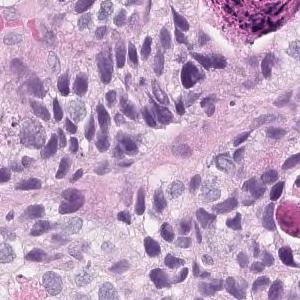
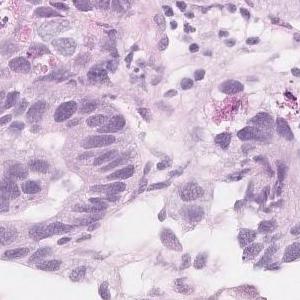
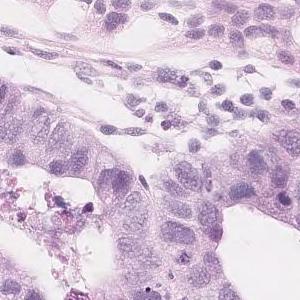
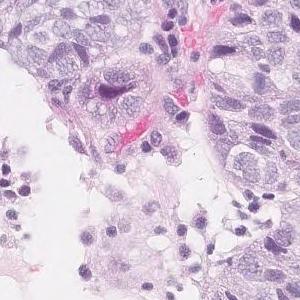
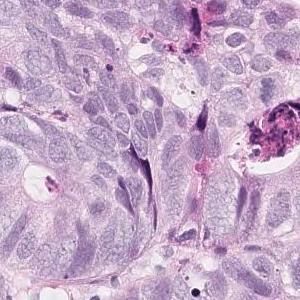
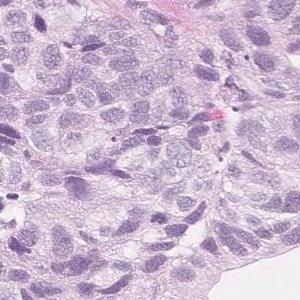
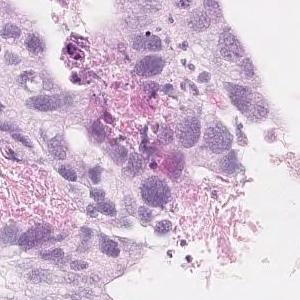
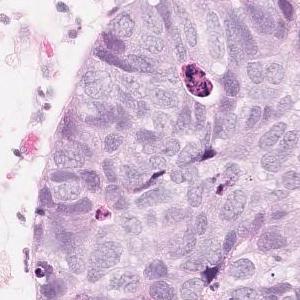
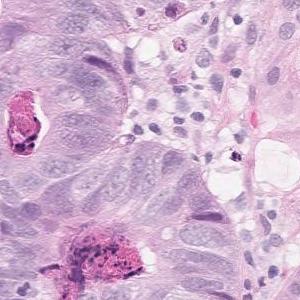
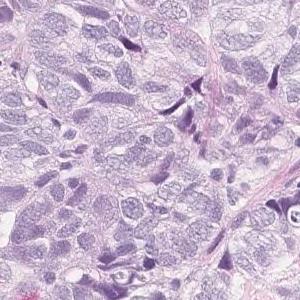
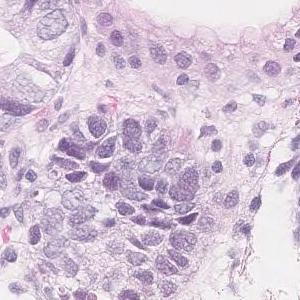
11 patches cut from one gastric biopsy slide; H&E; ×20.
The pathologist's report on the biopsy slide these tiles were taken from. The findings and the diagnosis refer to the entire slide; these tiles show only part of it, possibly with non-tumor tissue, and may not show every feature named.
In the superficial epithelium, tumor tissue that invades by forming medium-sized to small, irregular ducts is observed. Moderately differentiated adenocarcinoma.
Histologic type: Moderately differentiated tubular adenocarcinoma.
